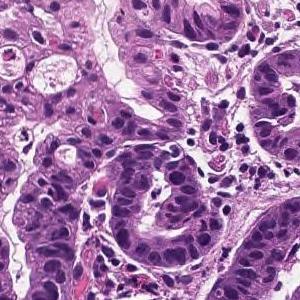
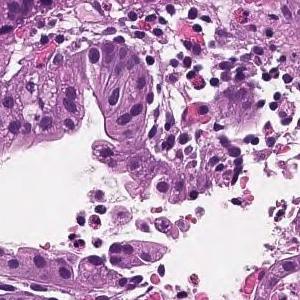
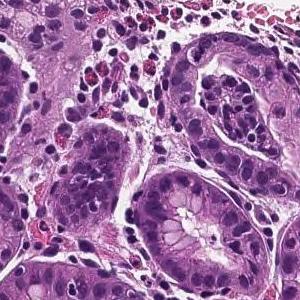
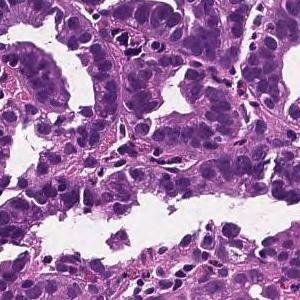
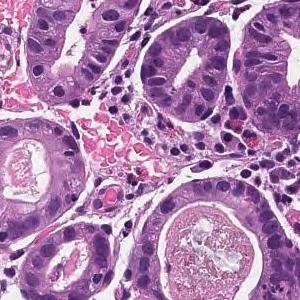
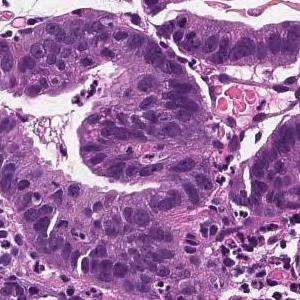
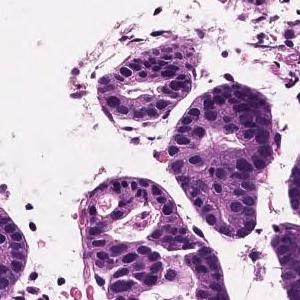
7 tiles cut from one stomach biopsy slide · 20× magnification · H&E.
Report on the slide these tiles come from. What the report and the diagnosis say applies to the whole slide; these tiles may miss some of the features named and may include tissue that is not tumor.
On the superficial epithelium, tumor tissue consisting of medium-sized irregular or small round gland ducts showing a small cord-like shape and infiltrating is observed. Well differentiated tubular adenocarcinoma or Poorly differentiated adenocarcinoma, non-solid type
Labeled in the dataset as well differentiated tubular adenocarcinoma.
The non-solid type named here is a Japanese Classification of Gastric Carcinoma category.
